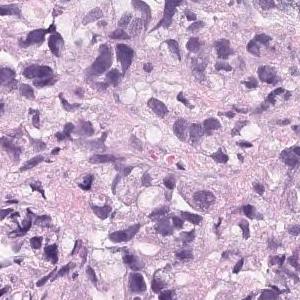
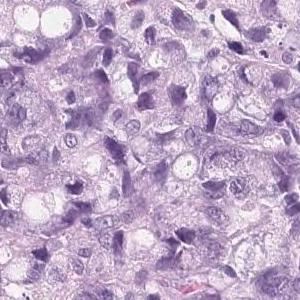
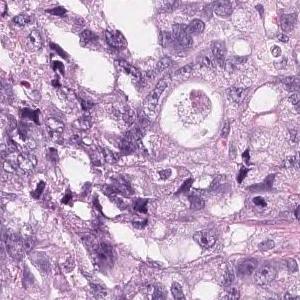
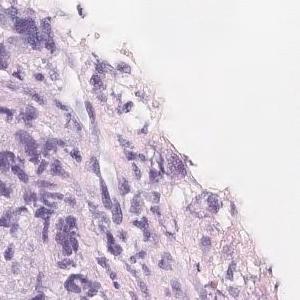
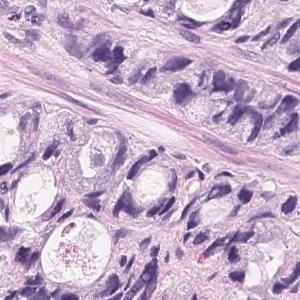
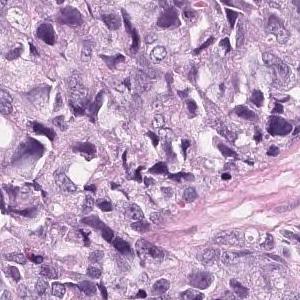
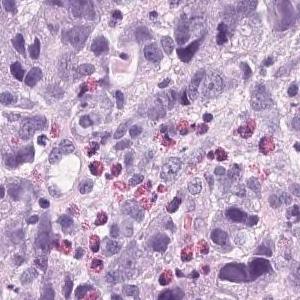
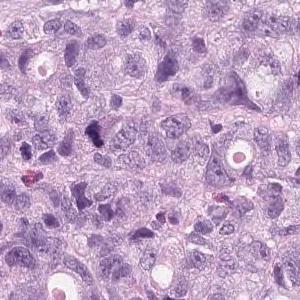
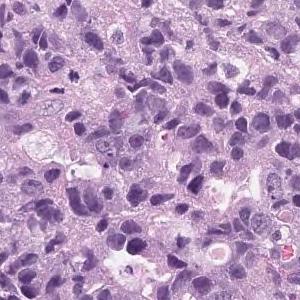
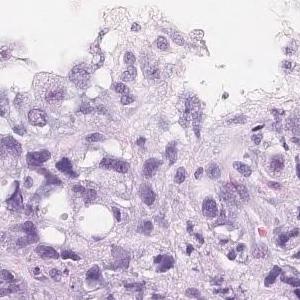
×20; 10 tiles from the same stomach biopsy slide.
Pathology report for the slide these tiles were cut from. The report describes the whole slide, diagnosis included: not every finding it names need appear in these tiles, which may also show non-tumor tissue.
Tumor tissue that infiltrates and proliferates by forming small glandular cavities in the superficial layer to the submucosa or forming a mass is observed. moderately differentiated tubular adenocarcinoma
